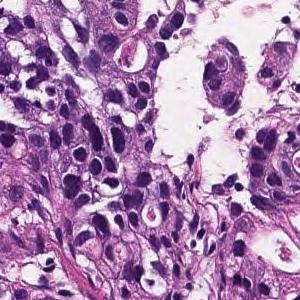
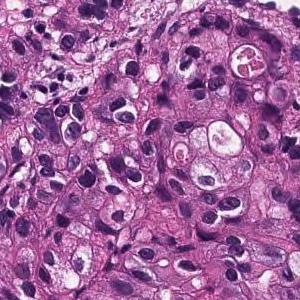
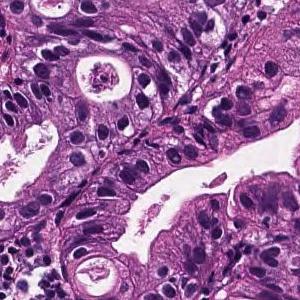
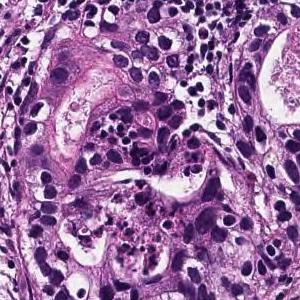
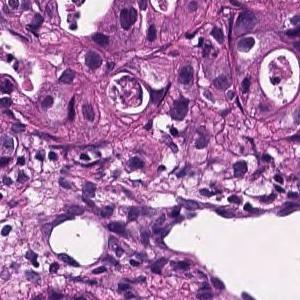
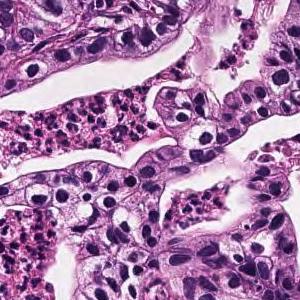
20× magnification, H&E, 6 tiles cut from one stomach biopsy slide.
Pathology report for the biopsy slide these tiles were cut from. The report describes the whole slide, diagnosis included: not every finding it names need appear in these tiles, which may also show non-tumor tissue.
From the superficial epithelium to the muscularis mucosae, tumor tissue infiltrating by forming medium-sized irregular gland ducts is observed. Large tumor cells exhibit large nucleus and hyperchromatism. Well differentiated tubular adenocarcinoma
